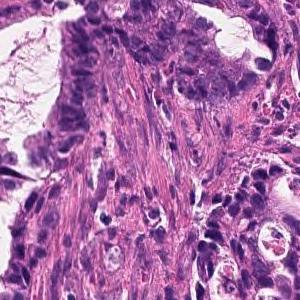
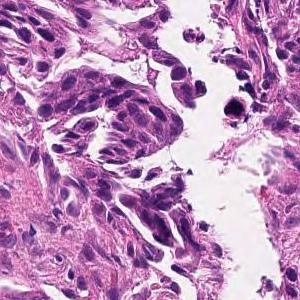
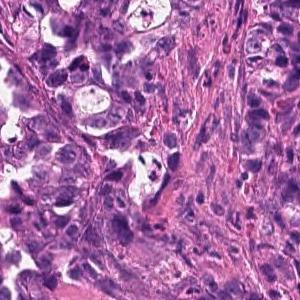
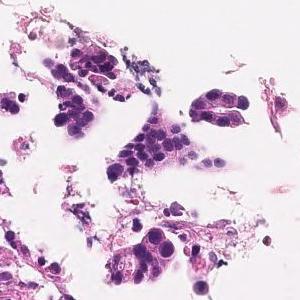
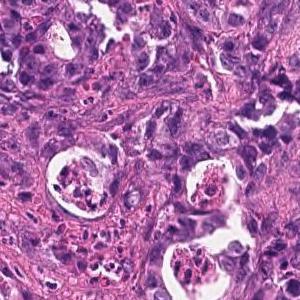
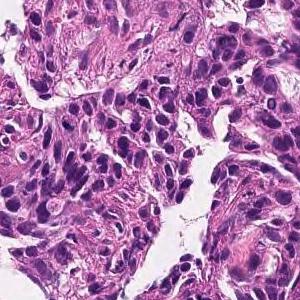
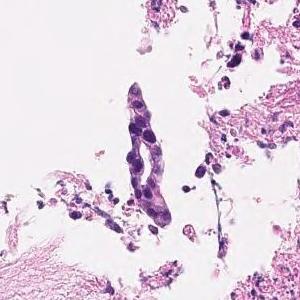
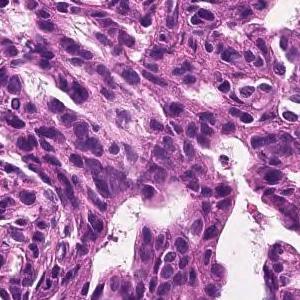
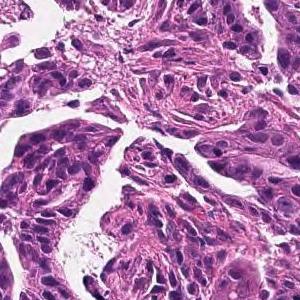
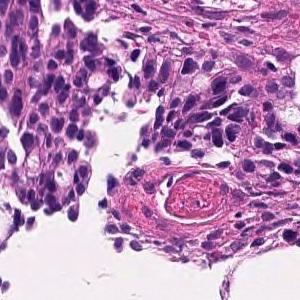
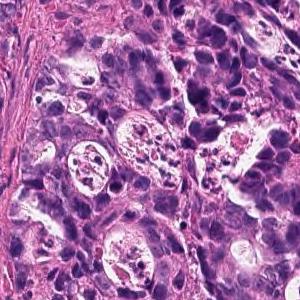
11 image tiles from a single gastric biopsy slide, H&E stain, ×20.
Diagnostic report for the slide these tiles come from. Both the report and the diagnosis are for the whole slide: these tiles need not show every feature named, and some of the tissue shown may not be tumor.
On the superficial epithelium, tumor tissue consisting of images of small to medium-sized and irregular tubules infiltrating with irregular fusion is observed. moderately differentiated tubular adenocarcinoma
